Scanned at ×20, hematoxylin and eosin stain, 6 tiles from the same stomach biopsy slide, 300 × 300 pixels each.
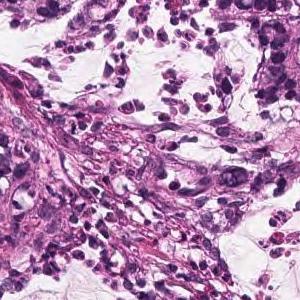
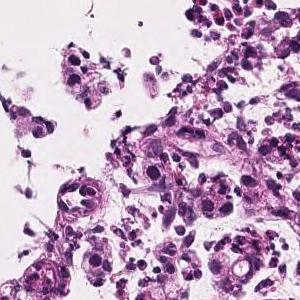
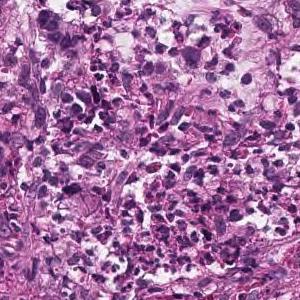
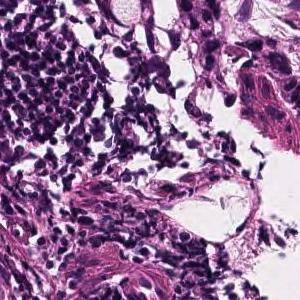
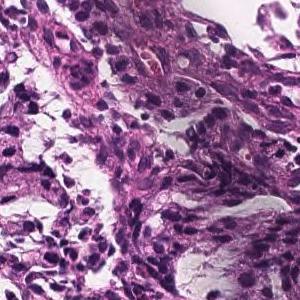
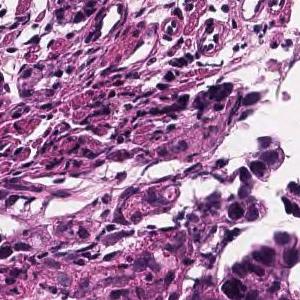
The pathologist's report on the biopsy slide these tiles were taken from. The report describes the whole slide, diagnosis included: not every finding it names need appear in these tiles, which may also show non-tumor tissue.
Atypical epithelial cells form obscure ductal structures or small solid follicles, and tumor tissue that proliferates invasively with proliferation of inflammatory granulation tissue is observed. Mucinous adenocarcinoma .
